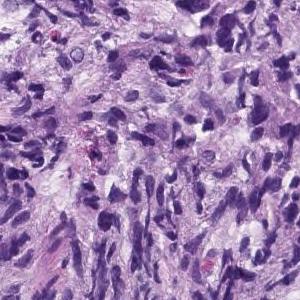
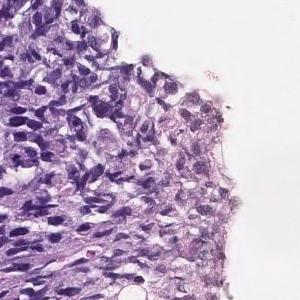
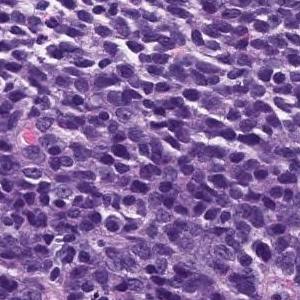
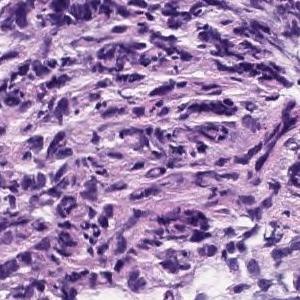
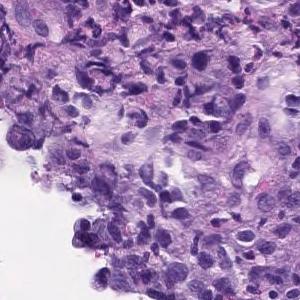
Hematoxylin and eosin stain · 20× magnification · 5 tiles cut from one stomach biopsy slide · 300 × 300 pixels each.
Report on the slide these tiles come from. The report and the diagnosis cover the entire slide, so not every feature they name need be visible here, and some tissue shown may not be tumor.
The superficial epithelium shows a large sheet-like shape, and some tumor tissue infiltrates with small irregular ducts. Poorly differentiated adenocarcinoma, solid-type
Subtype: Poorly differentiated adenocarcinoma, solid type (Japanese Classification of Gastric Carcinoma). The WHO 2019 equivalent is tubular adenocarcinoma, poorly differentiated.
